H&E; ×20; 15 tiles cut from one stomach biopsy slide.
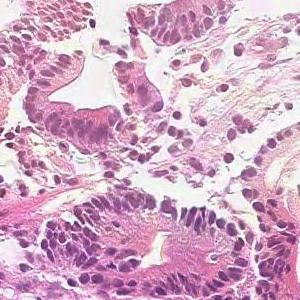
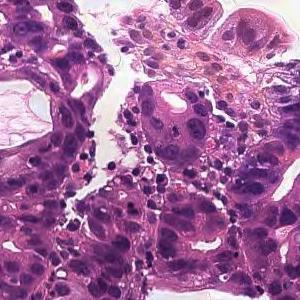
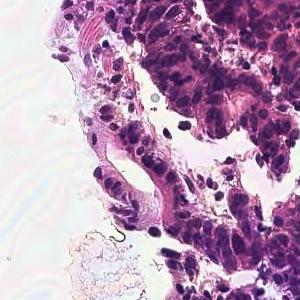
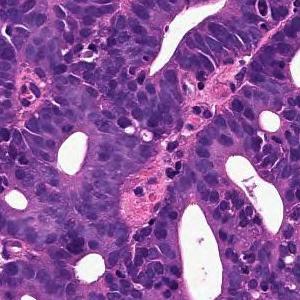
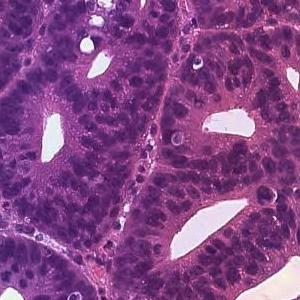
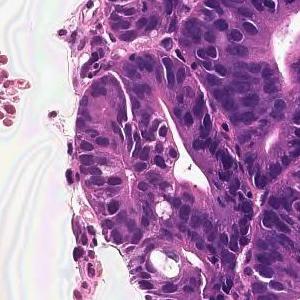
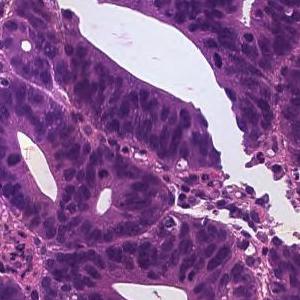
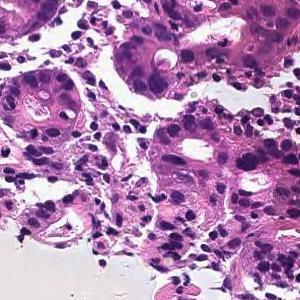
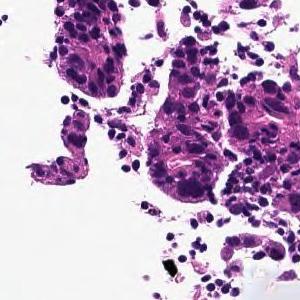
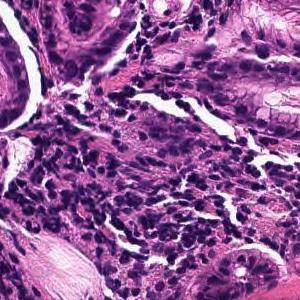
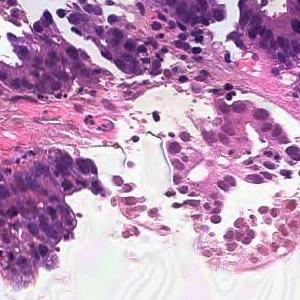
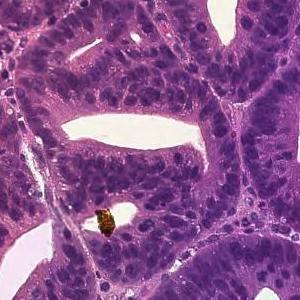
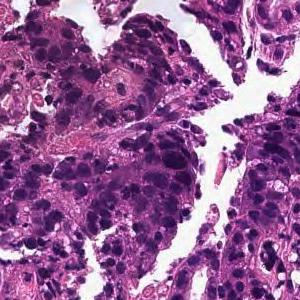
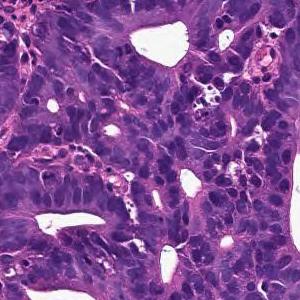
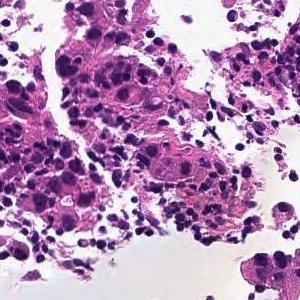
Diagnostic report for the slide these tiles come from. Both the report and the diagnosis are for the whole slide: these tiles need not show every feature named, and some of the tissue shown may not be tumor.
On the superficial epithelium, tumor tissue consisting of large irregular glandular ducts partially fused and infiltrated is observed. Well to moderately differentiated tubular adenocarcinoma (well differentiated tubular adenocarcinoma, moderately differentiated tubular adenocarcinoma)
Histologic type: Well to moderately differentiated tubular adenocarcinoma.
